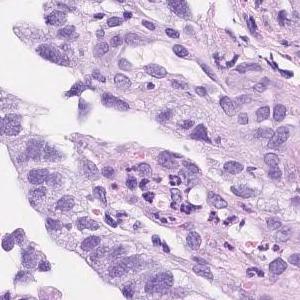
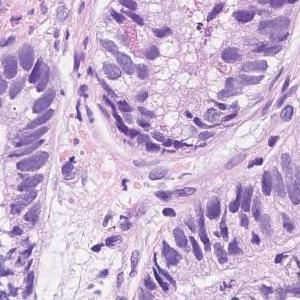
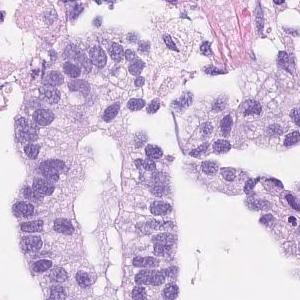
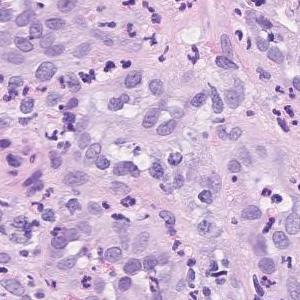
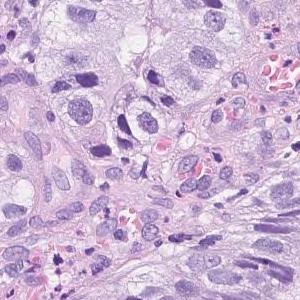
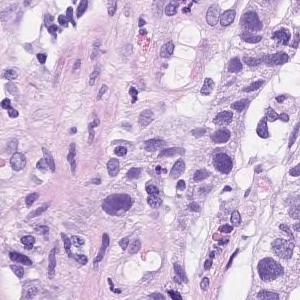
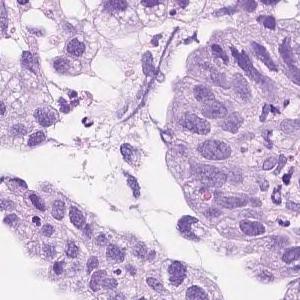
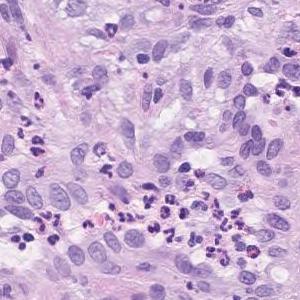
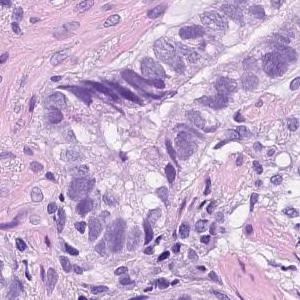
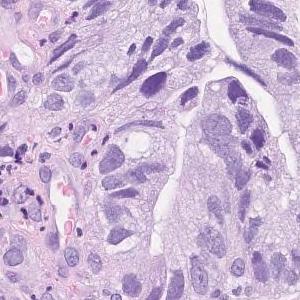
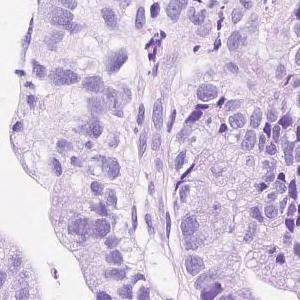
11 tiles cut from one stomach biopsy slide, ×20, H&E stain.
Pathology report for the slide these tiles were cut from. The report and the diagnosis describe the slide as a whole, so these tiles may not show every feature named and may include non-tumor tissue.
Atypical l cells with atypical nuclei forming solid or diffuse vesicles or small irregular atypical ducts and growing in a complex manner. moderately differentiated tubular adenocarcinoma
